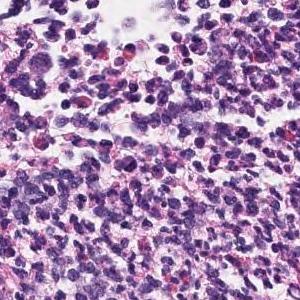
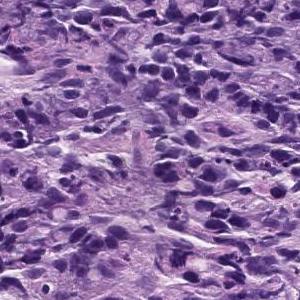
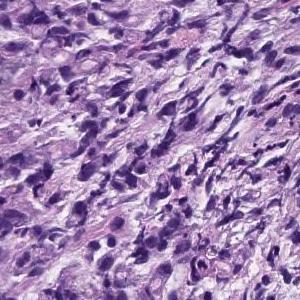
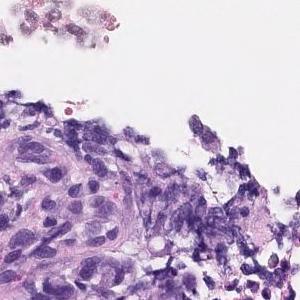
H&E stain, 20× magnification, 4 patches cut from one gastric biopsy slide, 300 × 300 pixels each.
The pathologist's report on the biopsy slide these tiles were taken from. The report and the diagnosis cover the entire slide, so not every feature they name need be visible here, and some tissue shown may not be tumor.
The superficial epithelium shows a large sheet-like shape, and some tumor tissue infiltrates with small irregular ducts. Poorly differentiated adenocarcinoma, solid-type
Histologic type: Poorly differentiated adenocarcinoma, solid type, a category of the Japanese Classification of Gastric Carcinoma; in the WHO 2019 classification it is tubular adenocarcinoma, poorly differentiated.
